14 tiles cut from one stomach biopsy slide.
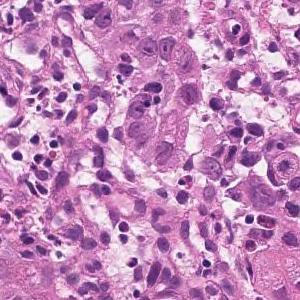
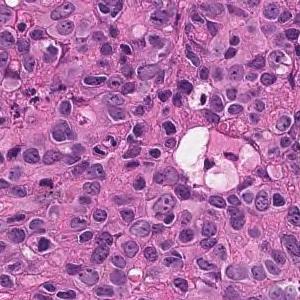
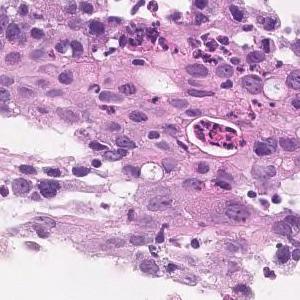
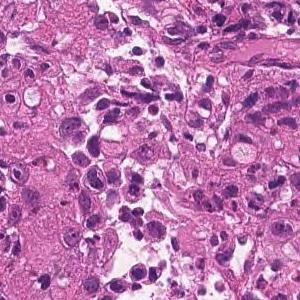
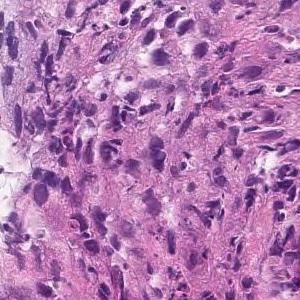
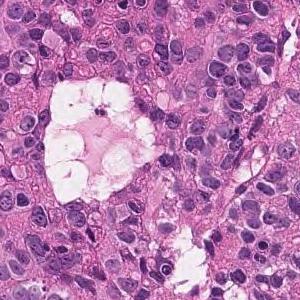
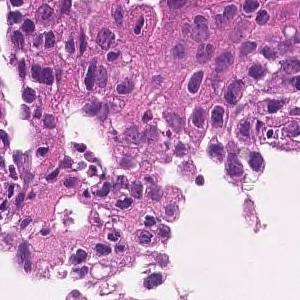
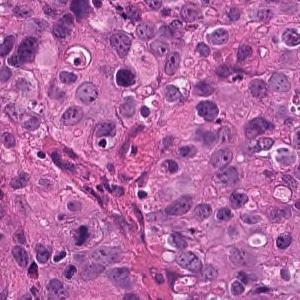
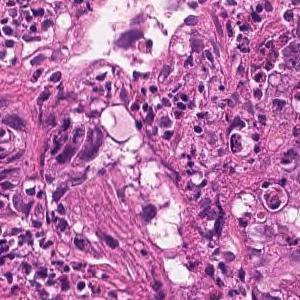
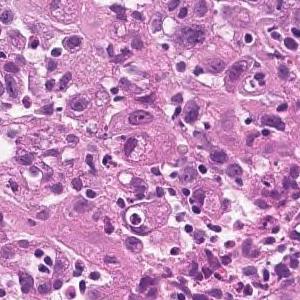
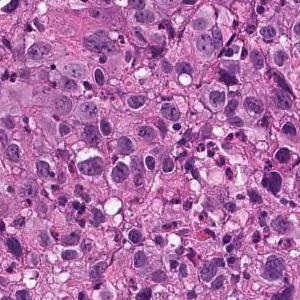
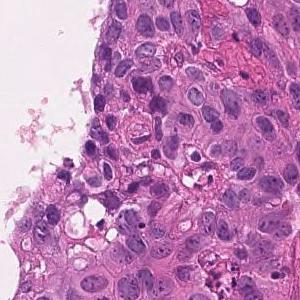
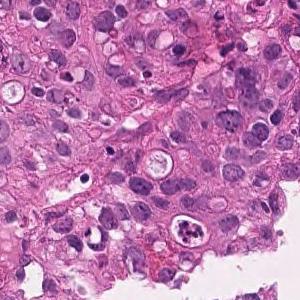
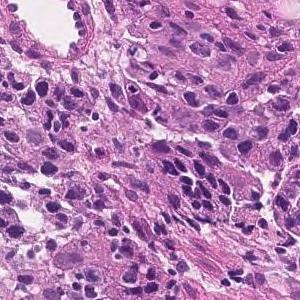
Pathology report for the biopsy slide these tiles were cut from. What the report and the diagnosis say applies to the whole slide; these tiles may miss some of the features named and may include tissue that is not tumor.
The superficial epithelium shows a large sheet-like shape, and some tumor tissue infiltrates with small irregular ducts. Poorly differentiated adenocarcinoma, solid-type
Tumor subtype: poorly differentiated adenocarcinoma, solid type (Japanese Classification of Gastric Carcinoma). The WHO 2019 equivalent is tubular adenocarcinoma, poorly differentiated.
